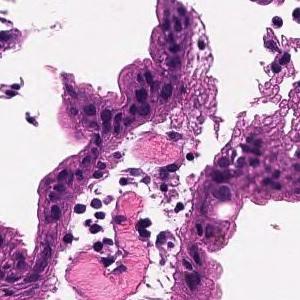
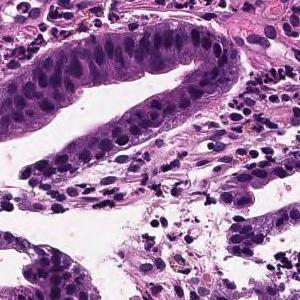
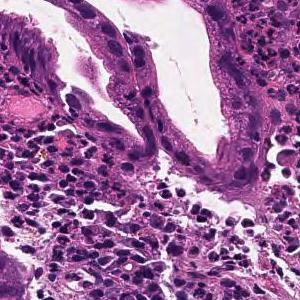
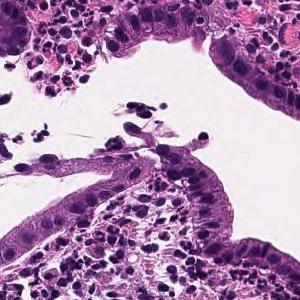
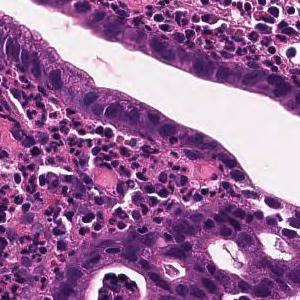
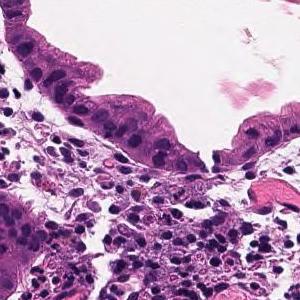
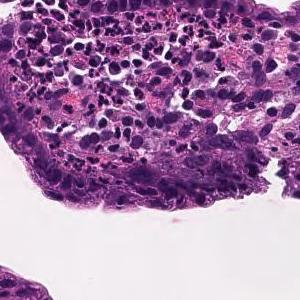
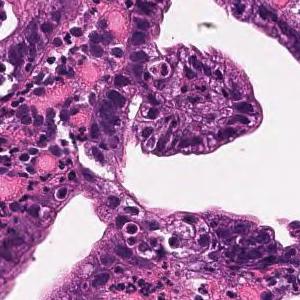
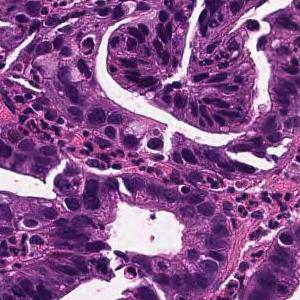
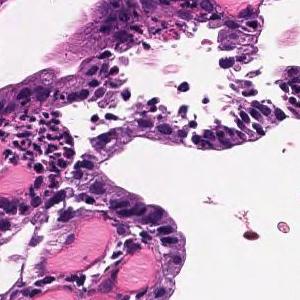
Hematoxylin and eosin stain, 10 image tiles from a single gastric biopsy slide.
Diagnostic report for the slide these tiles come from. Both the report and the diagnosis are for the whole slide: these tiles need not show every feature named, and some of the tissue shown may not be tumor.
From the superficial epithelium to the muscularis mucosae, tumor tissue consisting of medium-sized and irregular glandular ducts infiltrating is observed. Well differentiated tubular adenocarcinoma
